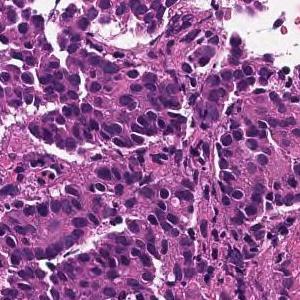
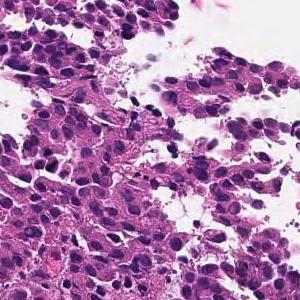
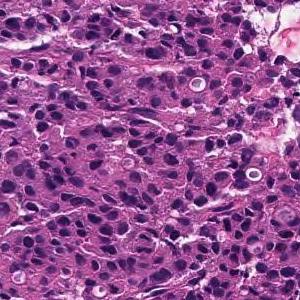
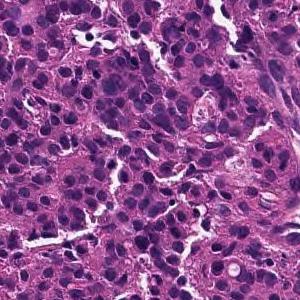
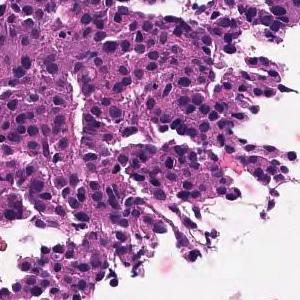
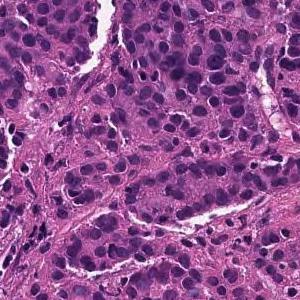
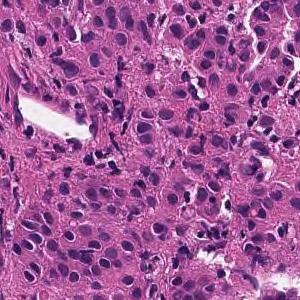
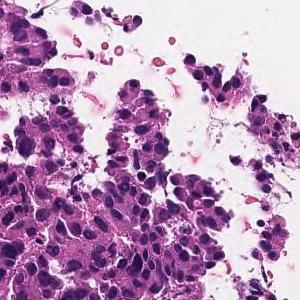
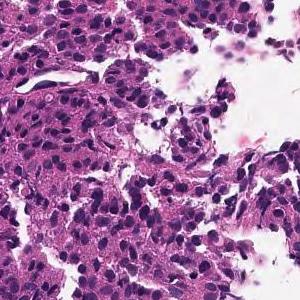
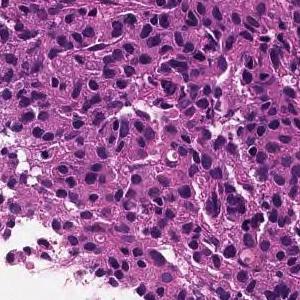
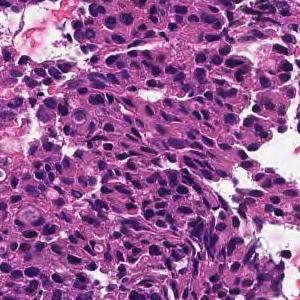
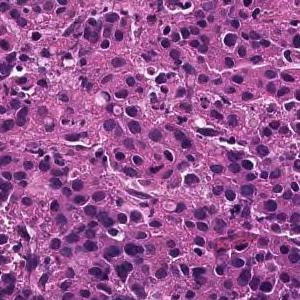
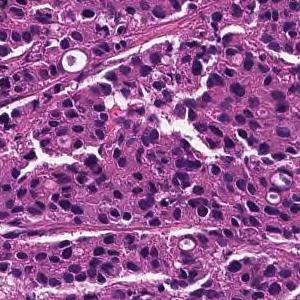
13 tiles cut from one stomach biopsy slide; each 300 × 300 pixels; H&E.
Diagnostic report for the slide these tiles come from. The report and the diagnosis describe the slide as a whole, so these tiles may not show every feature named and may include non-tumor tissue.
The superficial epithelium shows a large sheet-like shape, and some tumor tissue infiltrates with small irregular ducts. Poorly differentiated adenocarcinoma, solid-type
Subtype: Poorly differentiated adenocarcinoma, solid type, a category of the Japanese Classification of Gastric Carcinoma; in the WHO 2019 classification it is tubular adenocarcinoma, poorly differentiated.
